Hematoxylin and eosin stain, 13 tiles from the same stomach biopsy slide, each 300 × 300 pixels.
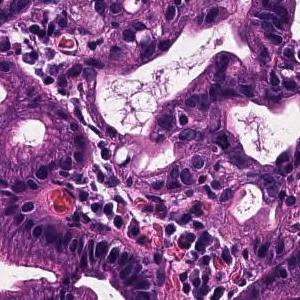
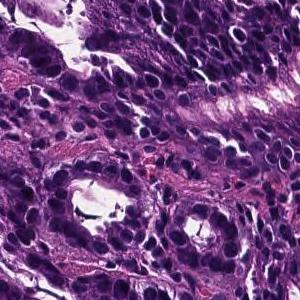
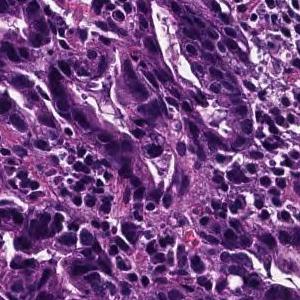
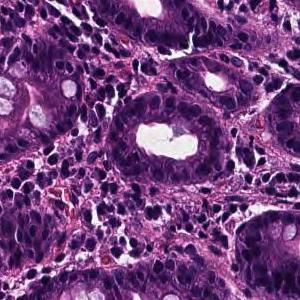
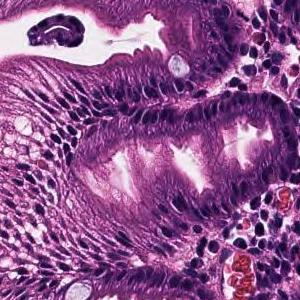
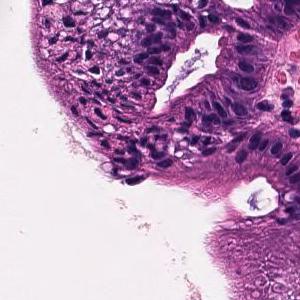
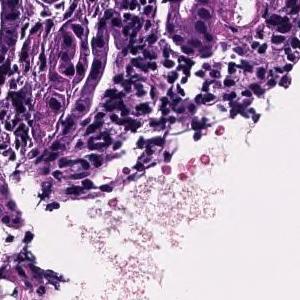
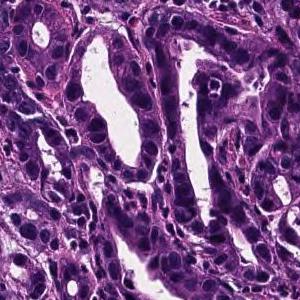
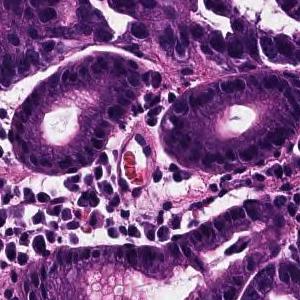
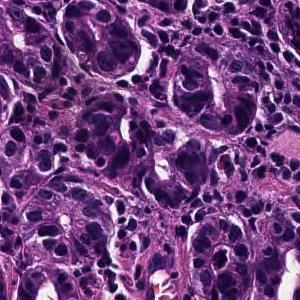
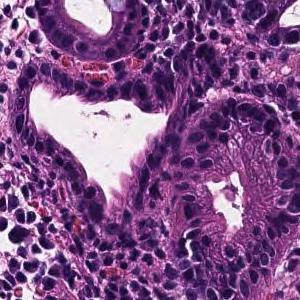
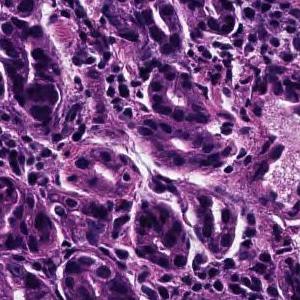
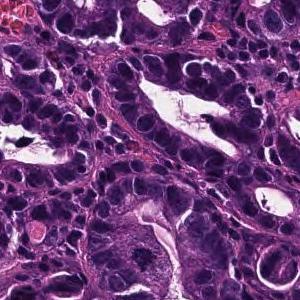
The pathologist's report on the biopsy slide these tiles were taken from. The report and the diagnosis cover the entire slide, so not every feature they name need be visible here, and some tissue shown may not be tumor.
On the superficial epithelium, tumor tissue consisting of proliferative images of medium-sized to small-sized round or irregular glandular ducts is observed. Well differentiated tubular adenocarcinoma
